4 image tiles from a single gastric biopsy slide, 20× magnification, H&E.
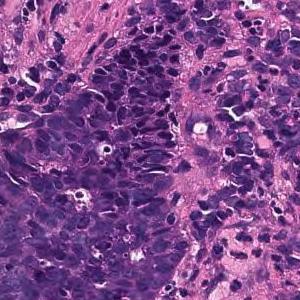
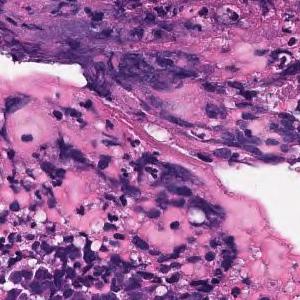
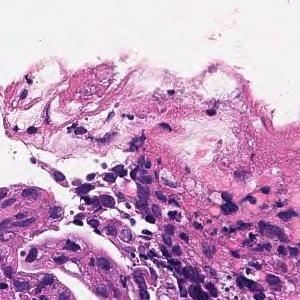
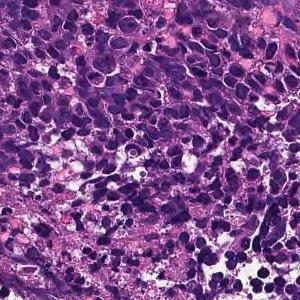
The pathologist's report on the biopsy slide these tiles were taken from. The report and the diagnosis describe the slide as a whole, so these tiles may not show every feature named and may include non-tumor tissue.
Large sheet-like or diffusely infiltrating tumor tissue is found in the superficial epithelium. Poorly differentiated adenocarcinoma, solid-type
Subtype: Poorly differentiated adenocarcinoma, solid type (Japanese Classification of Gastric Carcinoma). The WHO 2019 equivalent is tubular adenocarcinoma, poorly differentiated.
